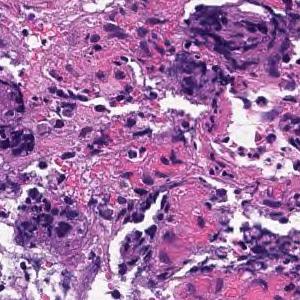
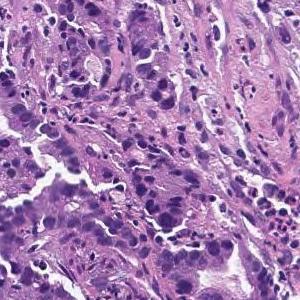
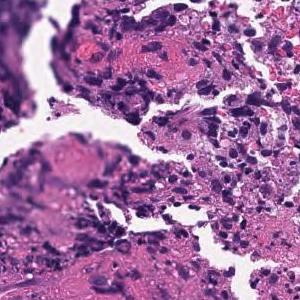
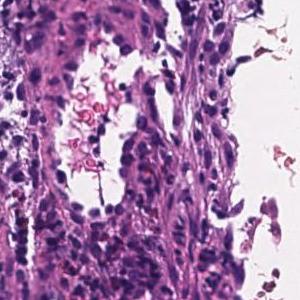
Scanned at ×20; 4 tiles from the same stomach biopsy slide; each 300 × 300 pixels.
Report on the slide these tiles come from. What the report and the diagnosis say applies to the whole slide; these tiles may miss some of the features named and may include tissue that is not tumor.
On the superficial epithelium, tumor tissue consisting of large irregular glandular ducts partially fused and infiltrated is observed. Well to moderately differentiated tubular adenocarcinoma (well differentiated tubular adenocarcinoma, moderately differentiated tubular adenocarcinoma)
Tumor subtype: well to moderately differentiated tubular adenocarcinoma.
